13 tiles from the same stomach biopsy slide; 20× magnification; hematoxylin and eosin stain.
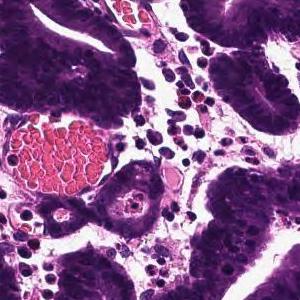
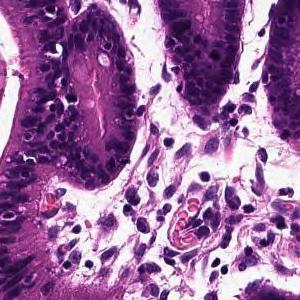
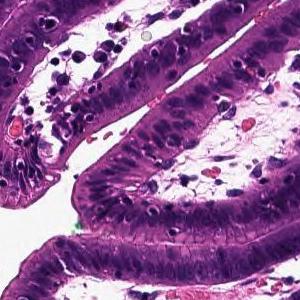
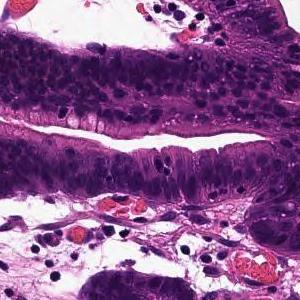
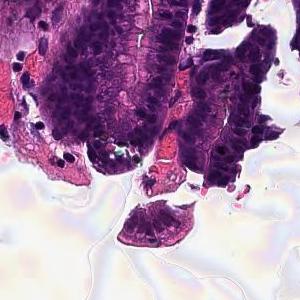
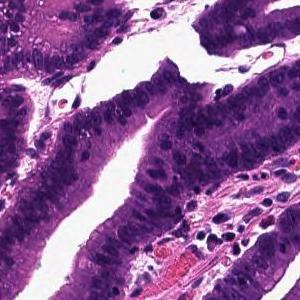
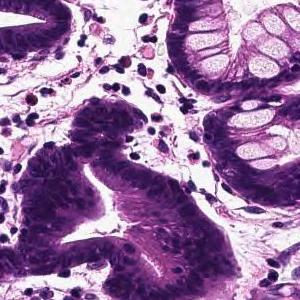
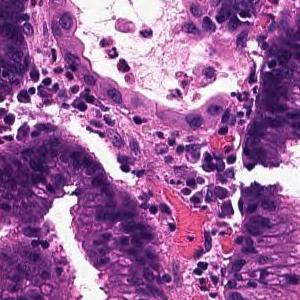
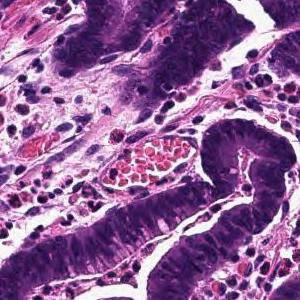
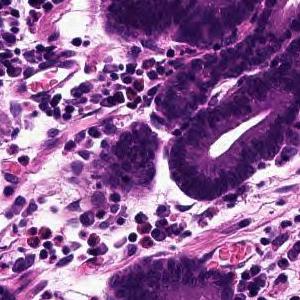
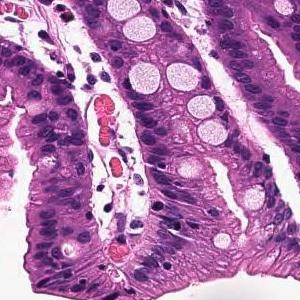
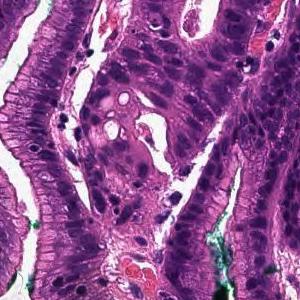
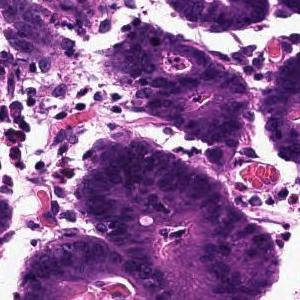
Report on the slide these tiles come from. What the report and the diagnosis say applies to the whole slide; these tiles may miss some of the features named and may include tissue that is not tumor.
Tumor tissue that infiltrates by forming large papillary or large irregular glandular ducts is observed confined to the mucosa. Papillary adenocarcinoma
